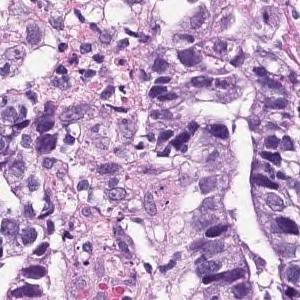
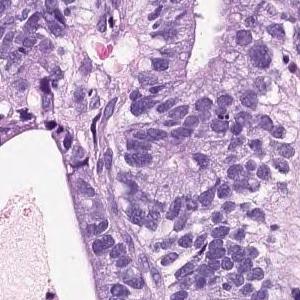
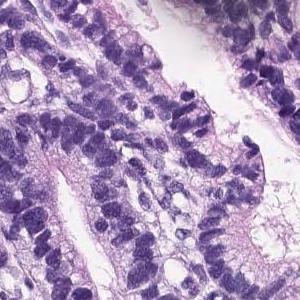
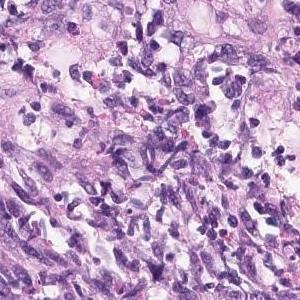
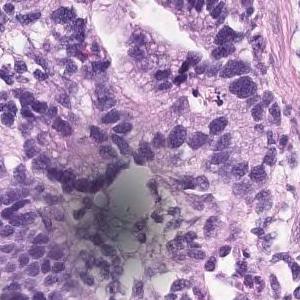
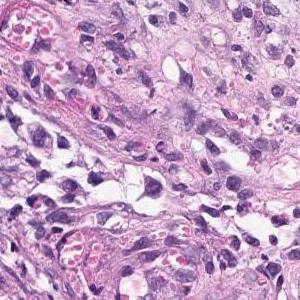
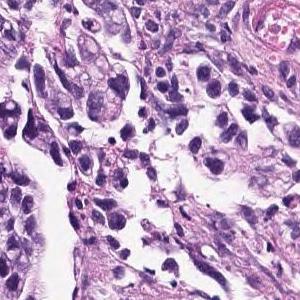
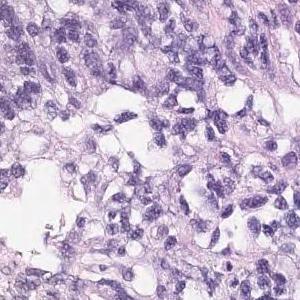
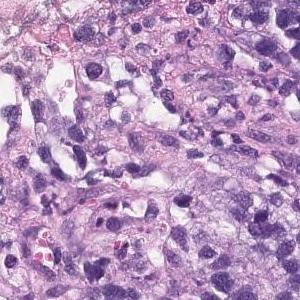
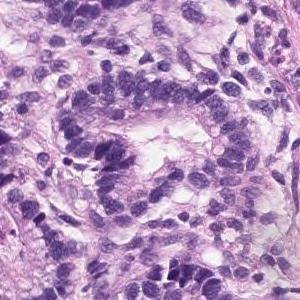
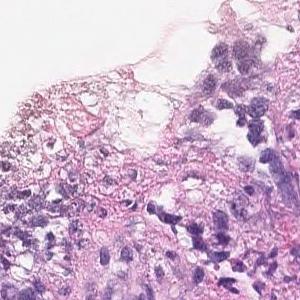
H&E, 11 patches cut from one gastric biopsy slide, 300×300 px each.
Pathology report for the biopsy slide these tiles were cut from. Both the report and the diagnosis are for the whole slide: these tiles need not show every feature named, and some of the tissue shown may not be tumor.
Hyperplasia of atypical epithelial cells with swelling of the nucleus is observed. Moderately diffentiated tubular adenocarcinoma
Histologic type: Moderately differentiated tubular adenocarcinoma.
